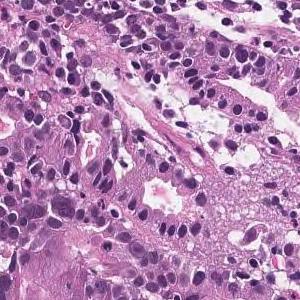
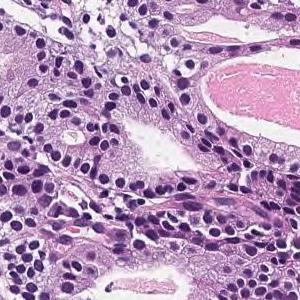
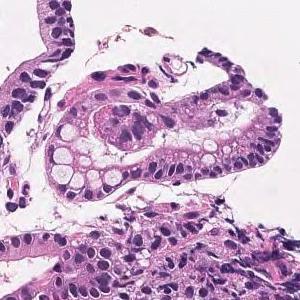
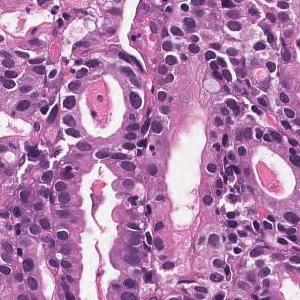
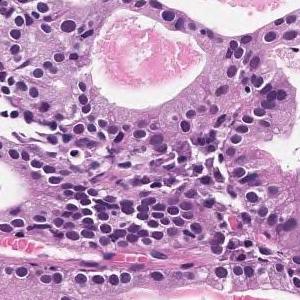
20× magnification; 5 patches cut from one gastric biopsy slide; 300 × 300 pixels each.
Report on the slide these tiles come from. The findings and the diagnosis refer to the entire slide; these tiles show only part of it, possibly with non-tumor tissue, and may not show every feature named.
Medium to small, irregular glandular ducts are formed in the superficial epithelium, and in some cases, the glandular ducts are fused to show solid alveolar lesions and infiltrating tumor tissue is observed. Moderately to poorly differentiated adenocarcinoma.
